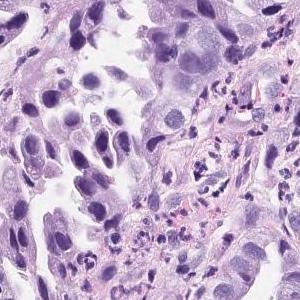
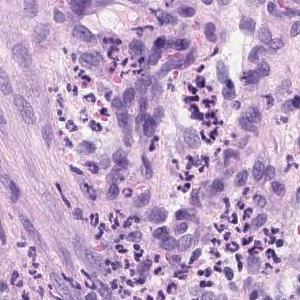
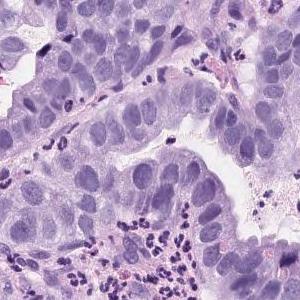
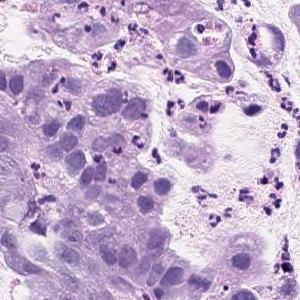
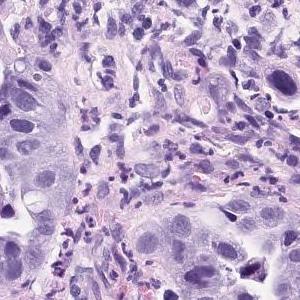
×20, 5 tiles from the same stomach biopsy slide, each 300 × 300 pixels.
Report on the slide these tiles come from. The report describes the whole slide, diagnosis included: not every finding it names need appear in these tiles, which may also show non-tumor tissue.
Atypical l cells with atypical nuclei forming solid or diffuse vesicles or small irregular atypical ducts and growing in a complex manner. Well differentiated tubular adenocarcinoma
